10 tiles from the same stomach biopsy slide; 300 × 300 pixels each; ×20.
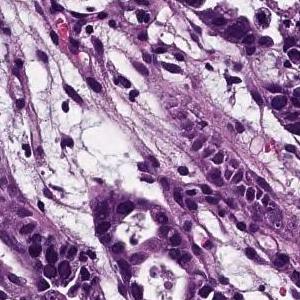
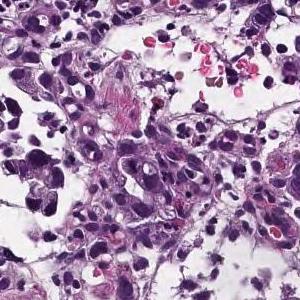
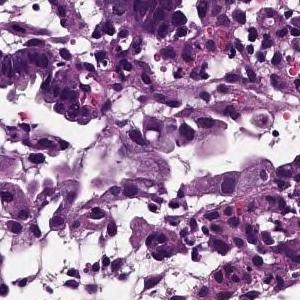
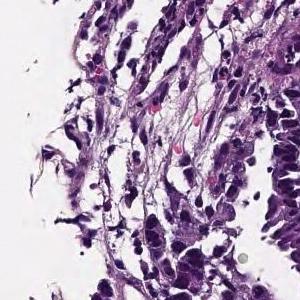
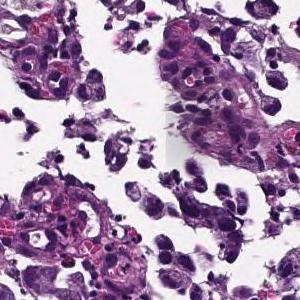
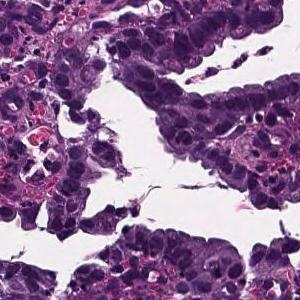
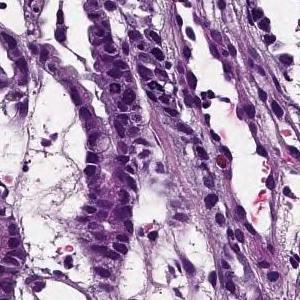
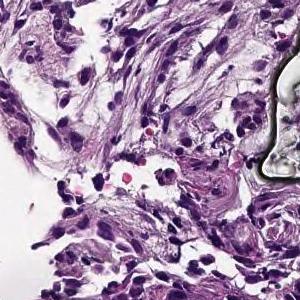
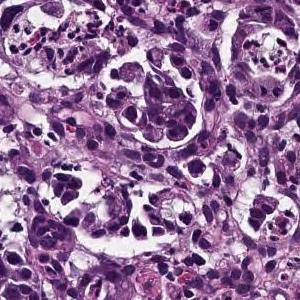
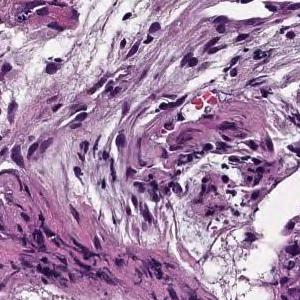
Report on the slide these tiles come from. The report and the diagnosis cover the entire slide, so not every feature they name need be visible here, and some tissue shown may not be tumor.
Medium to small, irregular glandular ducts are formed in the superficial epithelium, and in some cases, the glandular ducts are fused to show solid alveolar lesions and infiltrating tumor tissue is observed. Moderately to poorly differentiated adenocarcinoma.
